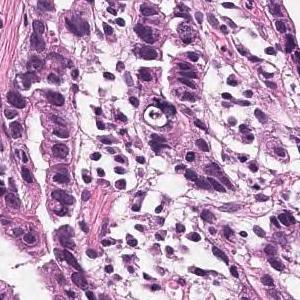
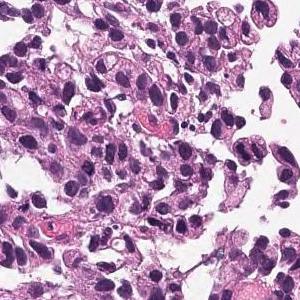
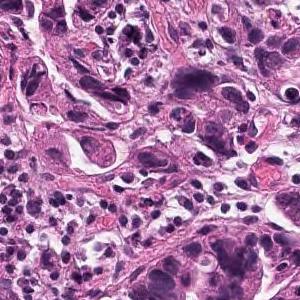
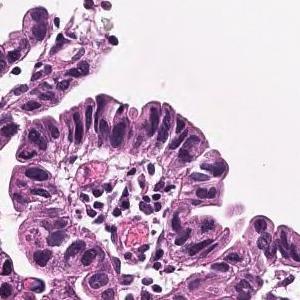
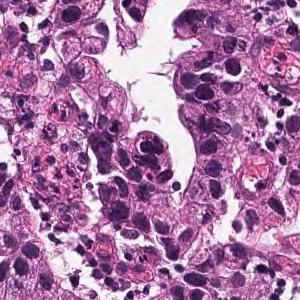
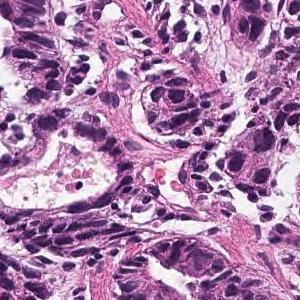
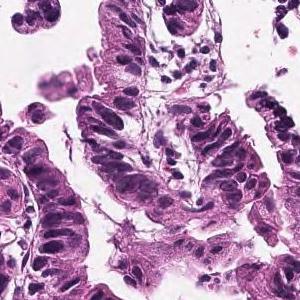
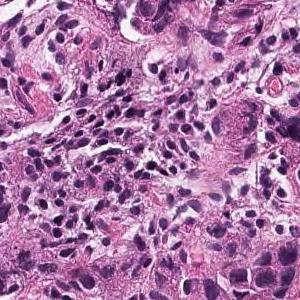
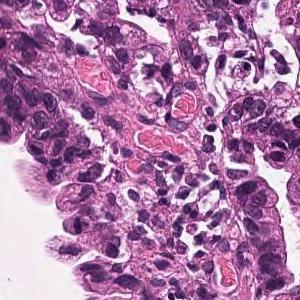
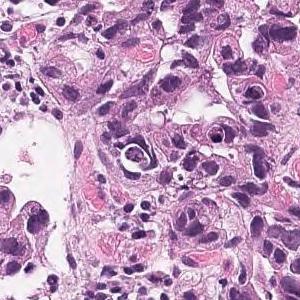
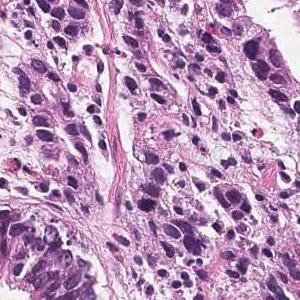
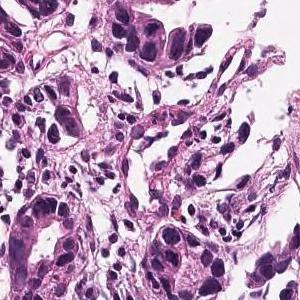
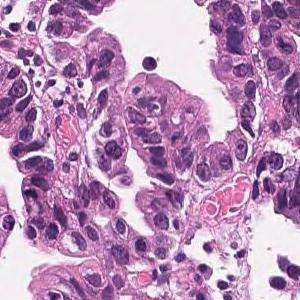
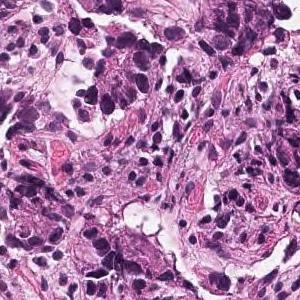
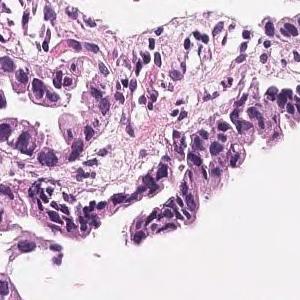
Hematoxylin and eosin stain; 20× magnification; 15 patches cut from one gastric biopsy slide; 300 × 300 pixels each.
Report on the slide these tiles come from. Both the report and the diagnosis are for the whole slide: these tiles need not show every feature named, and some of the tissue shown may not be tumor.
Medium to small, irregular glandular ducts are formed in the superficial epithelium, and in some cases, the glandular ducts are fused to show solid alveolar lesions and infiltrating tumor tissue is observed. Moderately to poorly differentiated adenocarcinoma.
